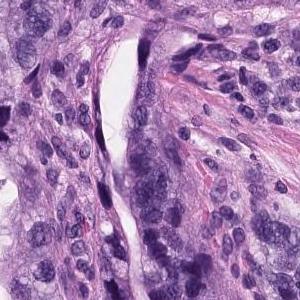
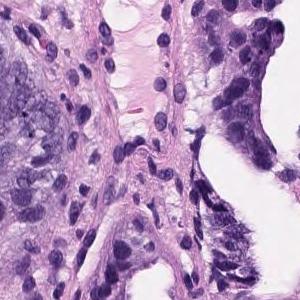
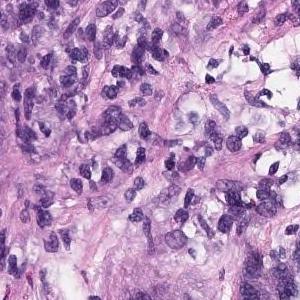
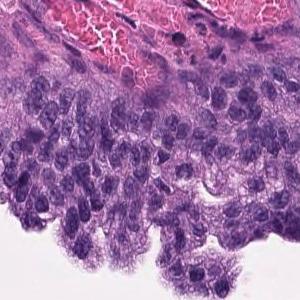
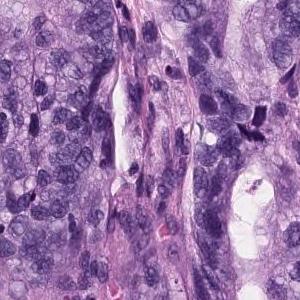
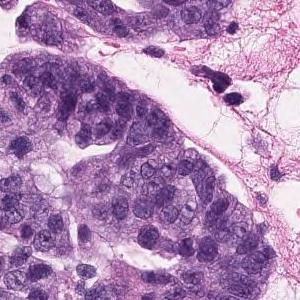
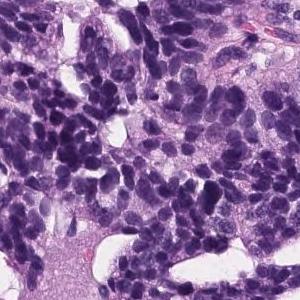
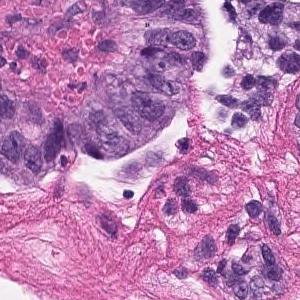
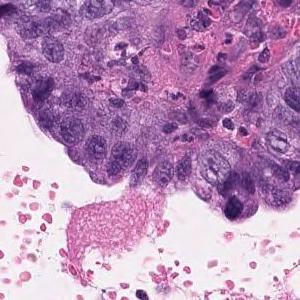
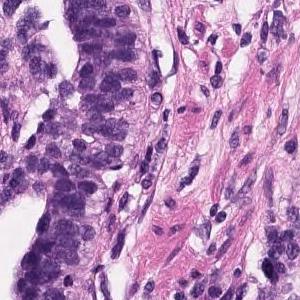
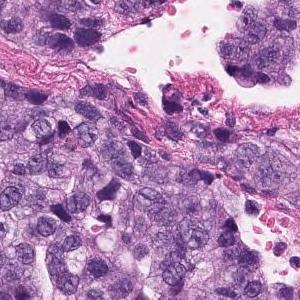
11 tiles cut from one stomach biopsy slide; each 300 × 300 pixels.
Report on the slide these tiles come from. The findings and the diagnosis refer to the entire slide; these tiles show only part of it, possibly with non-tumor tissue, and may not show every feature named.
Tumor cells are large, highly columnar, large club-shaped nuclei, and are associated with chromatin aggregation. Papillary adenocarcinoma.
